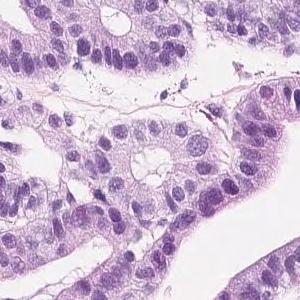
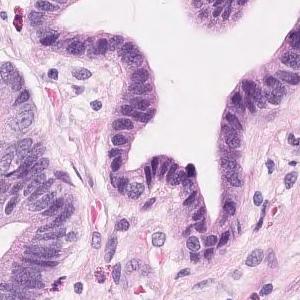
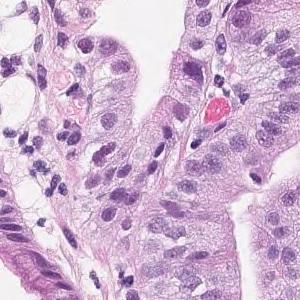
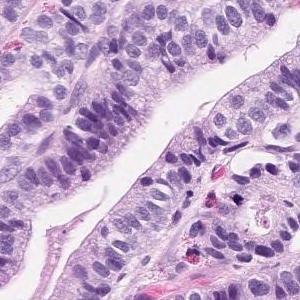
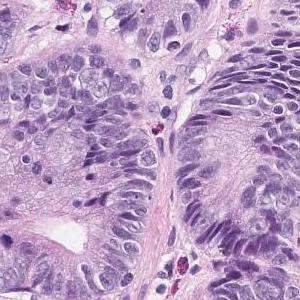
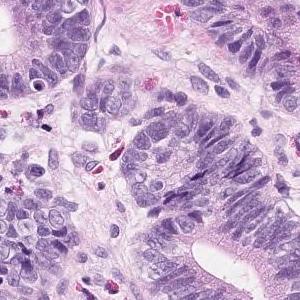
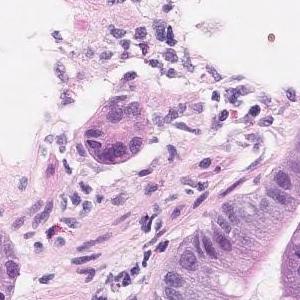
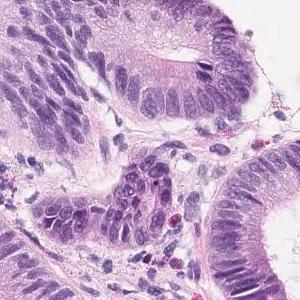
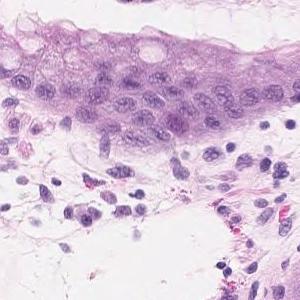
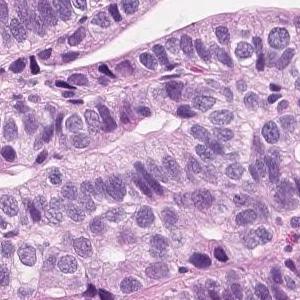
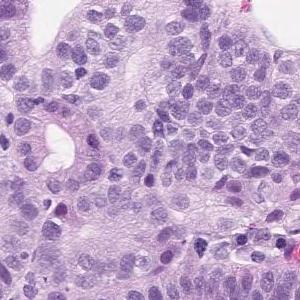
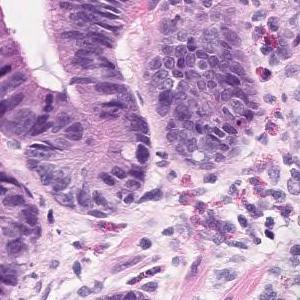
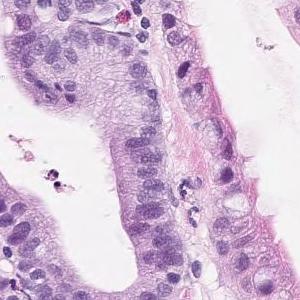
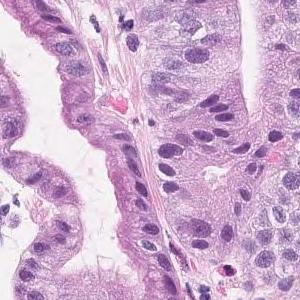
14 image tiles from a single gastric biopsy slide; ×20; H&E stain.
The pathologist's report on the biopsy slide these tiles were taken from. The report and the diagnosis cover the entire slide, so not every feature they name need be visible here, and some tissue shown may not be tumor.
Short atypical epithelium with swelling of the nucleus shows proliferating, large and small irregular ductal structures. Well to moderately differentiated tubular adenocarcinoma (well differentiated tubular adenocarcinoma-moderately differentiated tubular adenocarcinoma)
Classified as well to moderately differentiated tubular adenocarcinoma.
